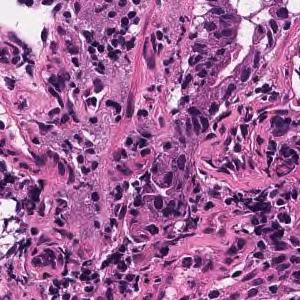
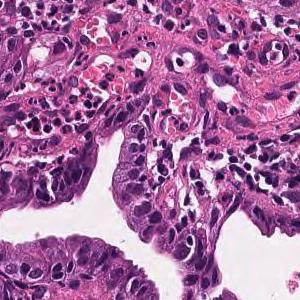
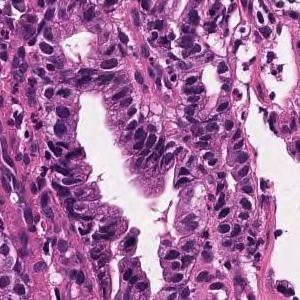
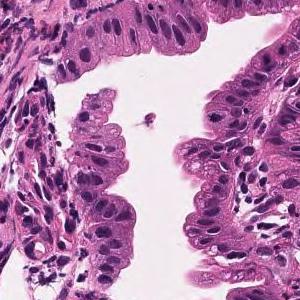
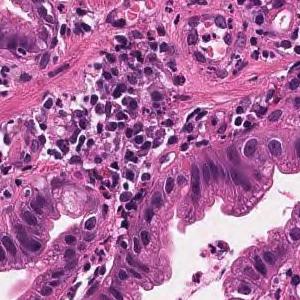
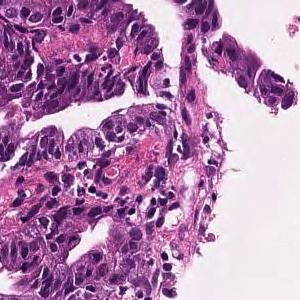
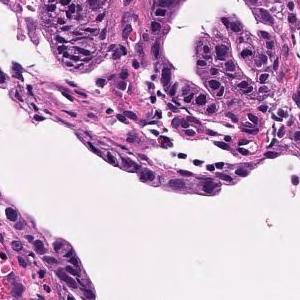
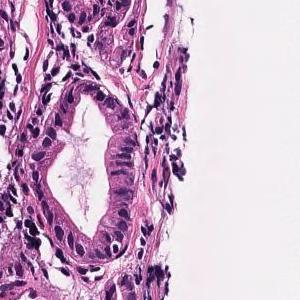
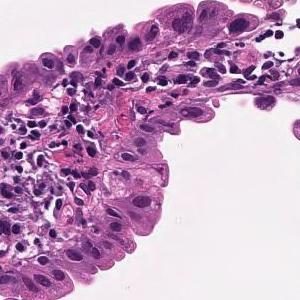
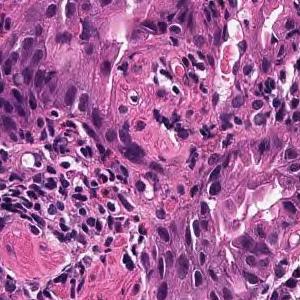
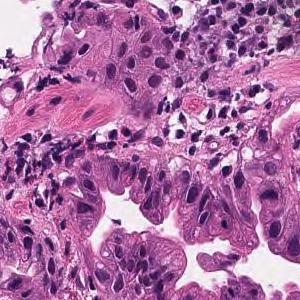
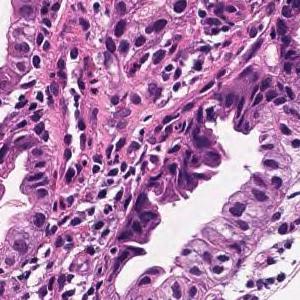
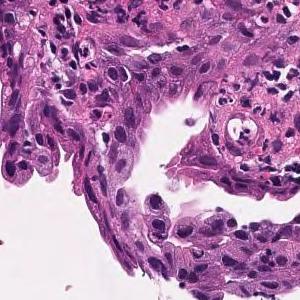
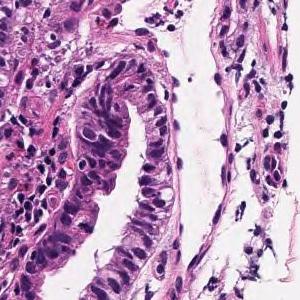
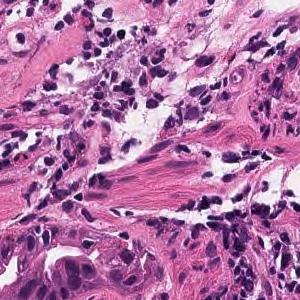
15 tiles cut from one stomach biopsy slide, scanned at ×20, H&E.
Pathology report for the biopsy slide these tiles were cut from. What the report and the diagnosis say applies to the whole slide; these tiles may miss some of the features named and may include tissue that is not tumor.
Tumor tissue in which medium to small irregular ducts infiltrate and proliferate in the submucosa can be seen in the epithelium. Well differentiated tubular adenocarcinoma
